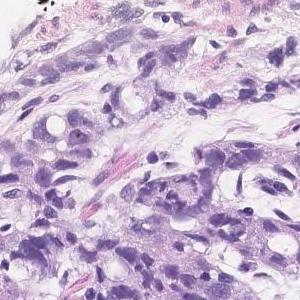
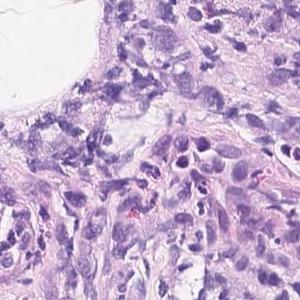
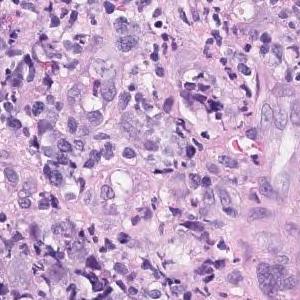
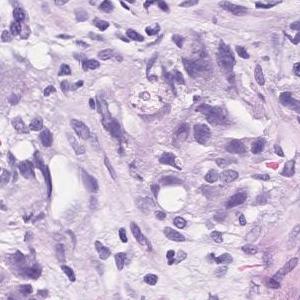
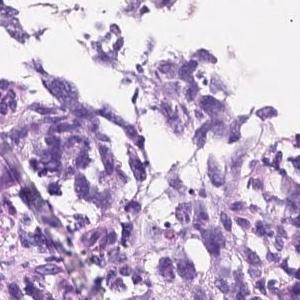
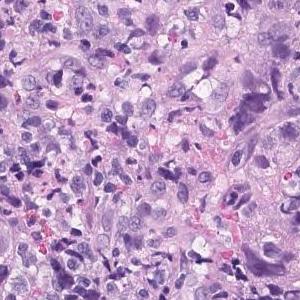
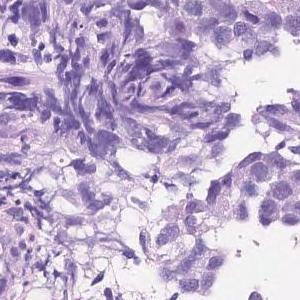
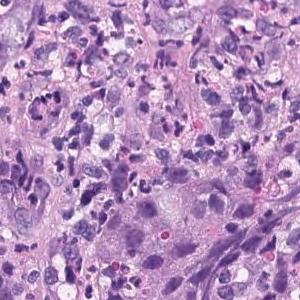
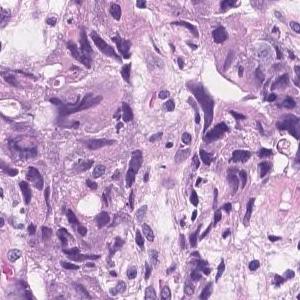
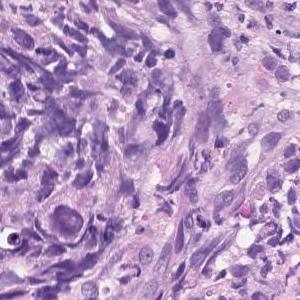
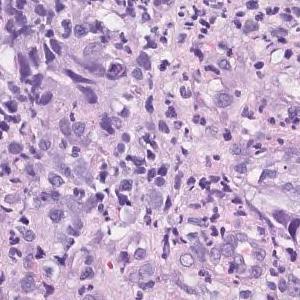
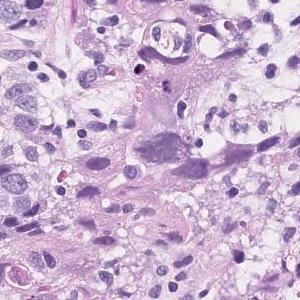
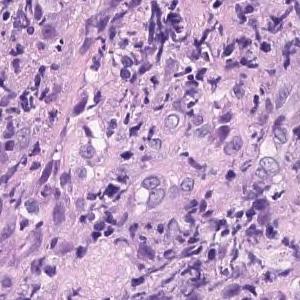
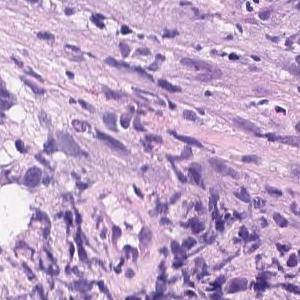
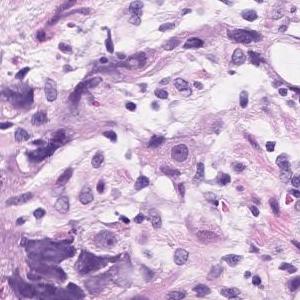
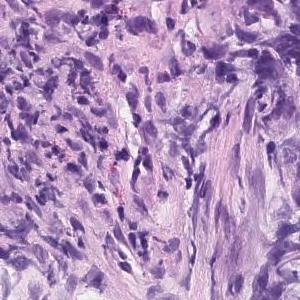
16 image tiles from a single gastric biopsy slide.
Pathology report for the slide these tiles were cut from. The report and the diagnosis describe the slide as a whole, so these tiles may not show every feature named and may include non-tumor tissue.
Atypical epithelial cells infiltrating and proliferating diffusely or while forming vesicles is observed. Poorly differentiated adenocarcinoma (poorly differentiated adenocarcinoma, solid type moderately differentiated tubular adenocarcinoma)
The dataset labels this slide poorly differentiated adenocarcinoma, solid type. This name comes from the Japanese Classification of Gastric Carcinoma; the WHO 2019 classification calls it tubular adenocarcinoma, poorly differentiated.
